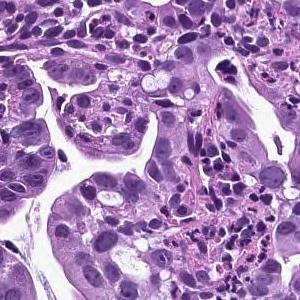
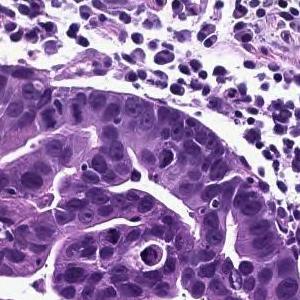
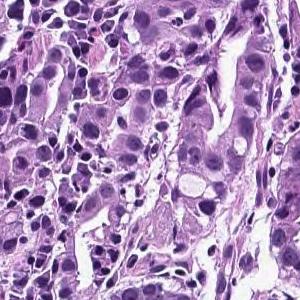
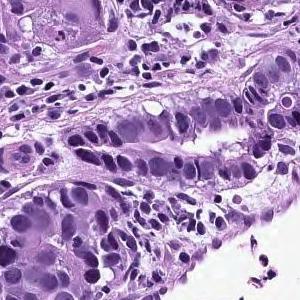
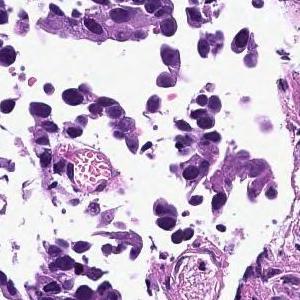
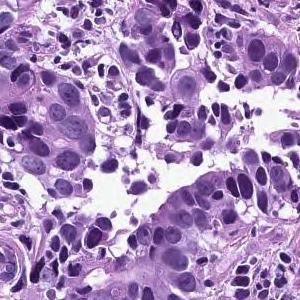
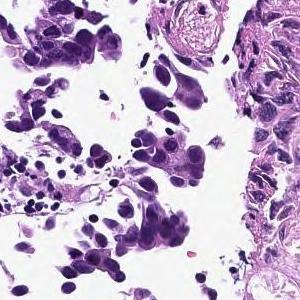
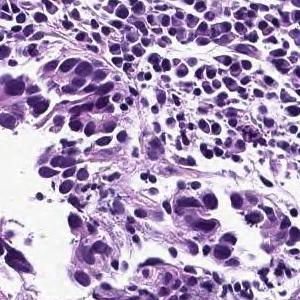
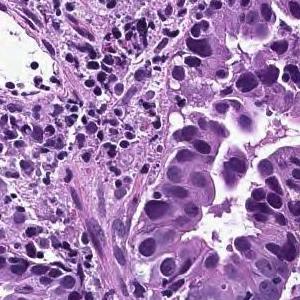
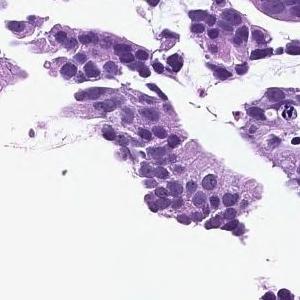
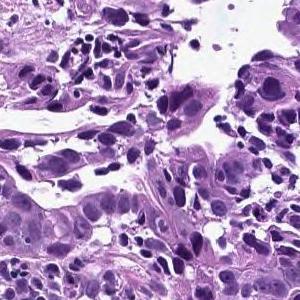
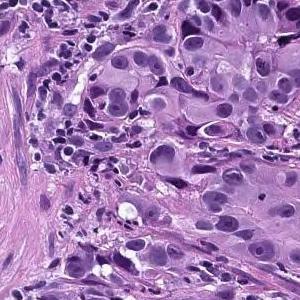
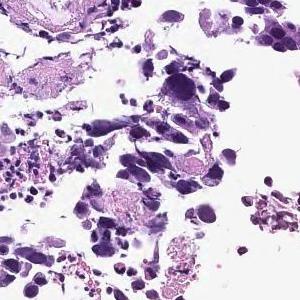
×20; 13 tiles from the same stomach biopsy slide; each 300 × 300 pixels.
Diagnostic report for the slide these tiles come from. The report and the diagnosis cover the entire slide, so not every feature they name need be visible here, and some tissue shown may not be tumor.
In the superficial epithelium, tumor tissue that invades by forming medium-sized to small, irregular ducts is observed. moderately differentiated tubular adenocarcinoma.
